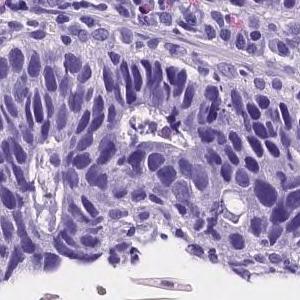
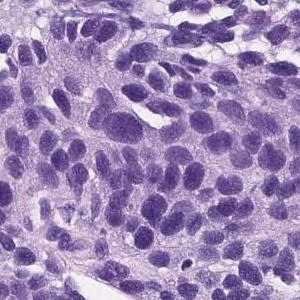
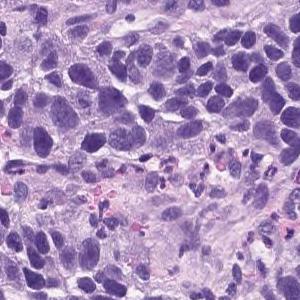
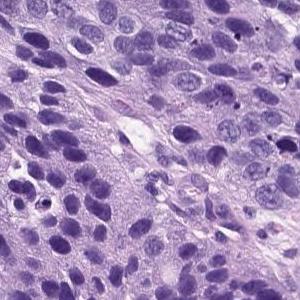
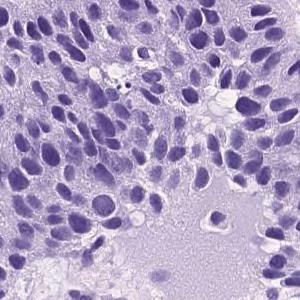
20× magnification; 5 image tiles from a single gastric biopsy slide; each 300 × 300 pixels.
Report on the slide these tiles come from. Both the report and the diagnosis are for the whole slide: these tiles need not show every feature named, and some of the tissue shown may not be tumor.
Atypical cells with atypical nuclei forming small irregular atypical ducts and growing in a conformative manner. moderately differentiated tubular adenocarcinoma
Dataset label: moderately to poorly differentiated adenocarcinoma.
